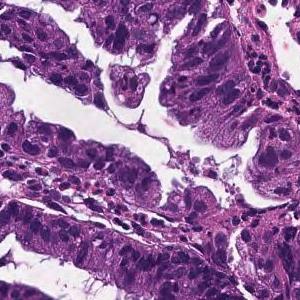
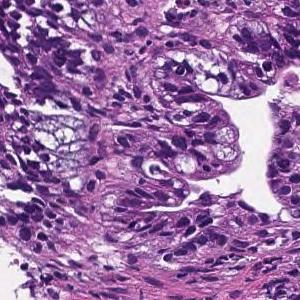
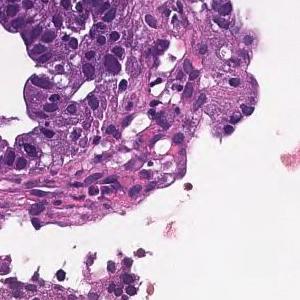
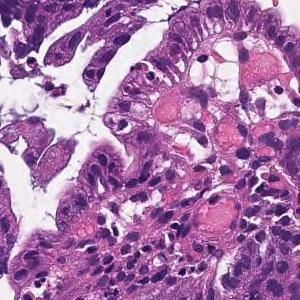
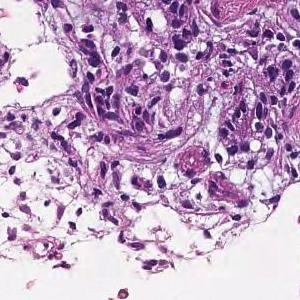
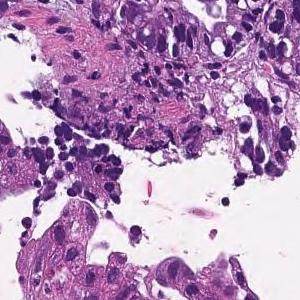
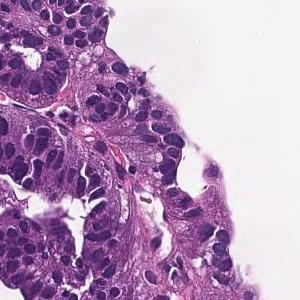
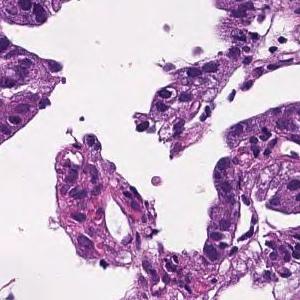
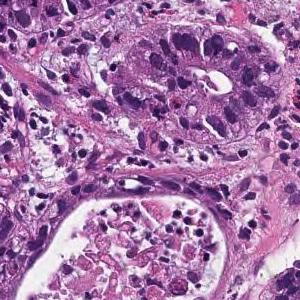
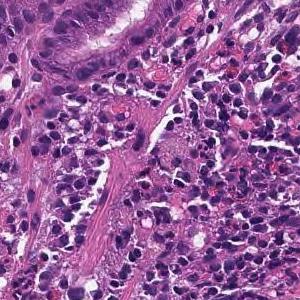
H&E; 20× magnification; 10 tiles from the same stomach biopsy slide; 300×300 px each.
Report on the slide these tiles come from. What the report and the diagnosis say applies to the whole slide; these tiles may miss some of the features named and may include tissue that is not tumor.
From the superficial epithelium to the muscularis mucosae, tumor tissue consisting of medium-sized and irregular glandular ducts infiltrating is observed. Well differentiated tubular adenocarcinoma
